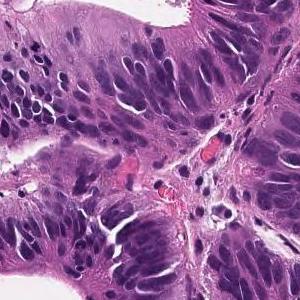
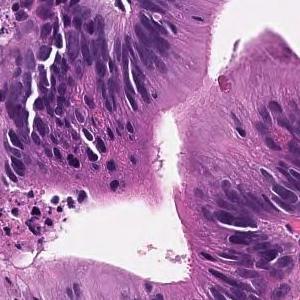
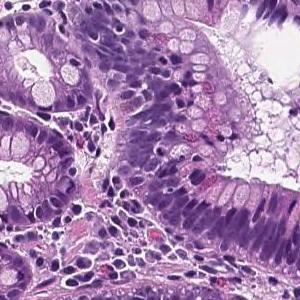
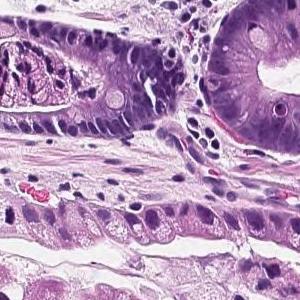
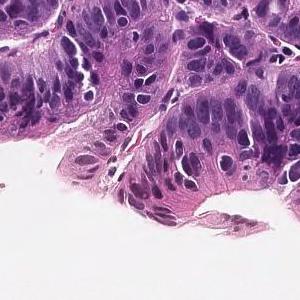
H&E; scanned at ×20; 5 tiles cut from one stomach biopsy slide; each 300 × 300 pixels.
Pathology report for the slide these tiles were cut from. The report and the diagnosis cover the entire slide, so not every feature they name need be visible here, and some tissue shown may not be tumor.
From the superficial epithelium to the muscularis mucosae, tumor tissue consisting of medium-sized and irregular glandular ducts infiltrating is observed. Well differentiated tubular adenocarcinoma
